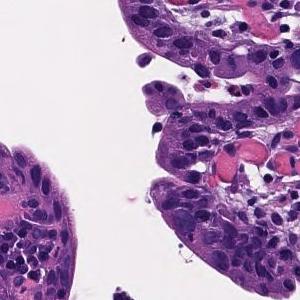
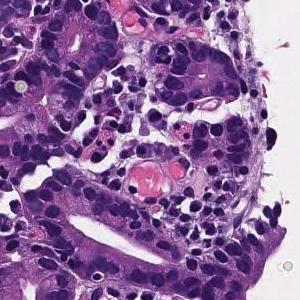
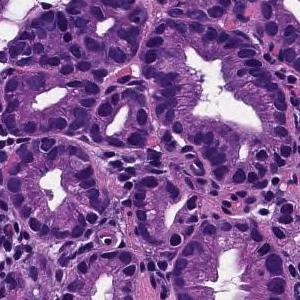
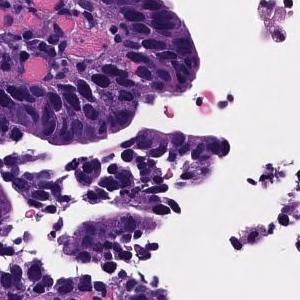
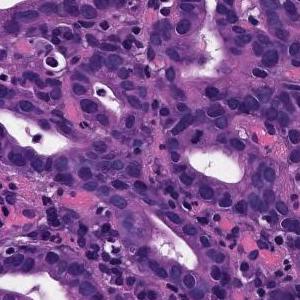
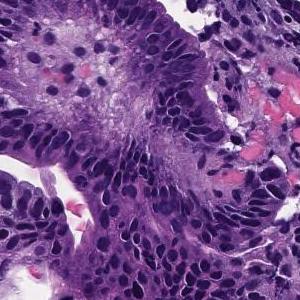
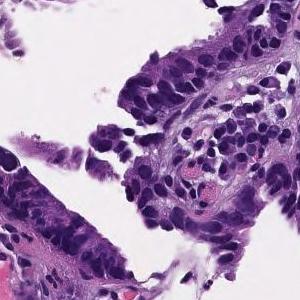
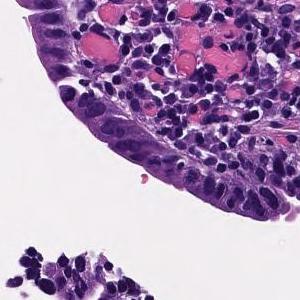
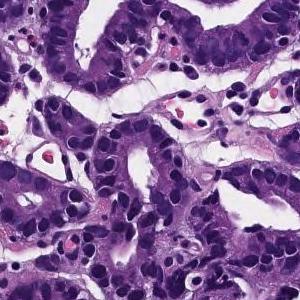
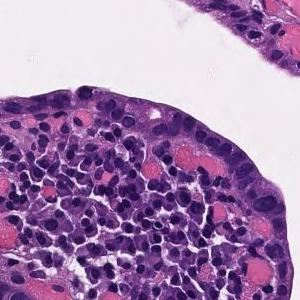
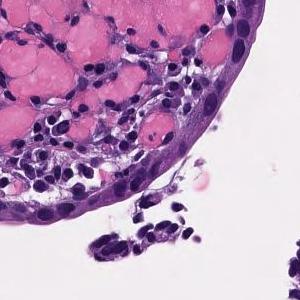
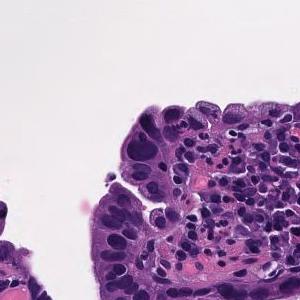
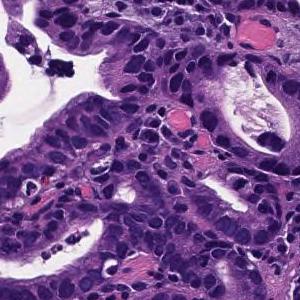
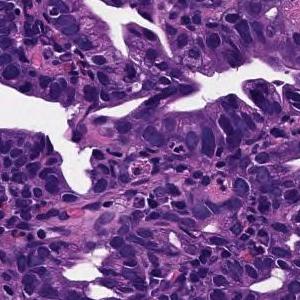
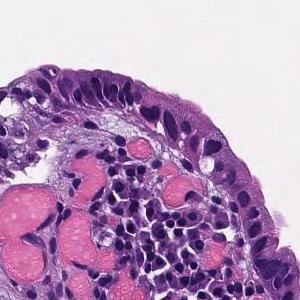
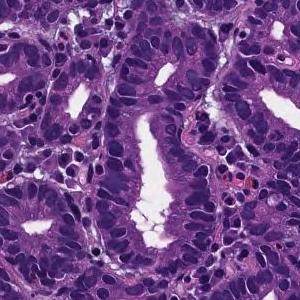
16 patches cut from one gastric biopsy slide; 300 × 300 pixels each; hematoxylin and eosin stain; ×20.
Pathology report for the biopsy slide these tiles were cut from. The report and the diagnosis describe the slide as a whole, so these tiles may not show every feature named and may include non-tumor tissue.
From the superficial epithelium to the muscularis mucosae, tumor tissue consisting of medium-sized and irregular glandular ducts infiltrating is observed. Well differentiated tubular adenocarcinoma
